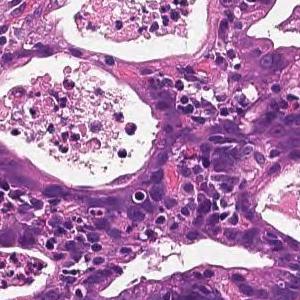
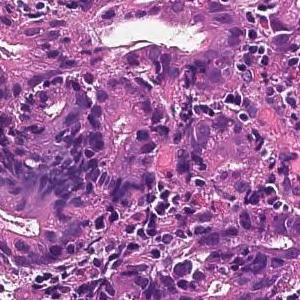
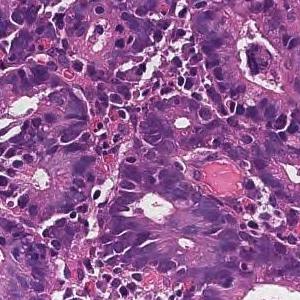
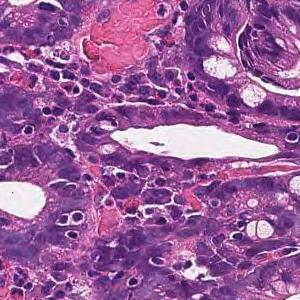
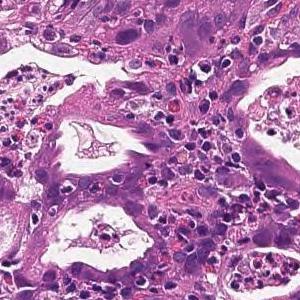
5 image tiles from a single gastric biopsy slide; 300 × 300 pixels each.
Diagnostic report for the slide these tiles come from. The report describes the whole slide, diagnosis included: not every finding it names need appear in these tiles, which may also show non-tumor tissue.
From the superficial epithelium to the muscularis mucosae, tumor tissue consisting of medium-sized and irregular glandular ducts infiltrating is observed. Well differentiated tubular adenocarcinoma
